9 tiles from the same stomach biopsy slide; hematoxylin and eosin stain; 20× magnification.
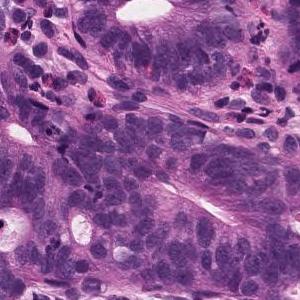
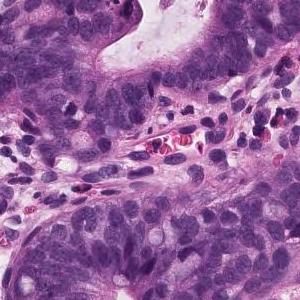
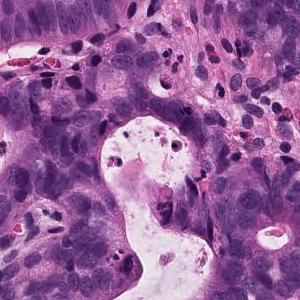
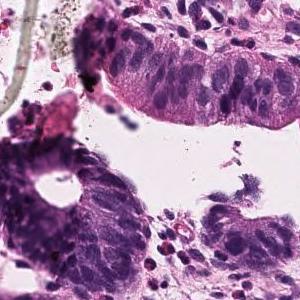
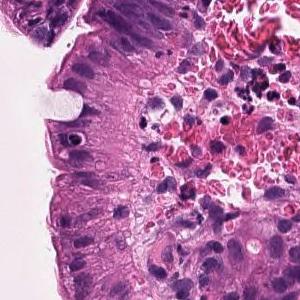
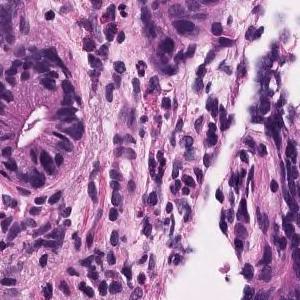
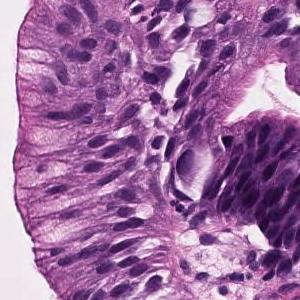
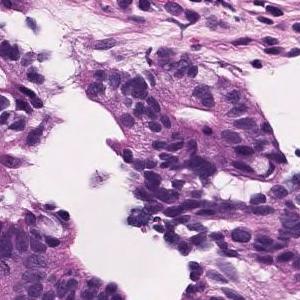
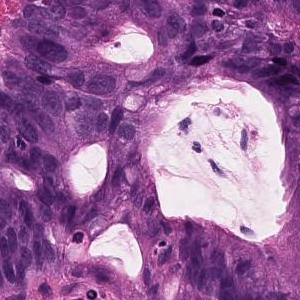
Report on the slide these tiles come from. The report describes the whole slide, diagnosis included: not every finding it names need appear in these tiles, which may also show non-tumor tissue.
Atypical ducts proliferating while irregularly fusing in the lateral direction is observed. Well differentiated tubular adenocarcinoma
